Scanned at ×20 · H&E · 7 image tiles from a single gastric biopsy slide · 300×300 px each.
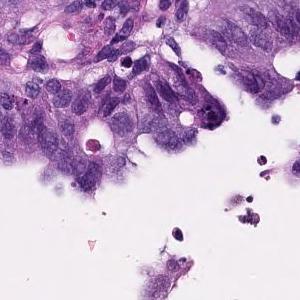
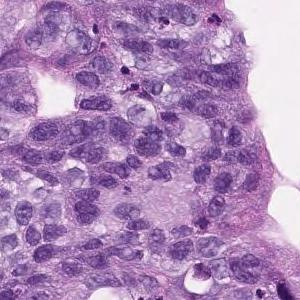
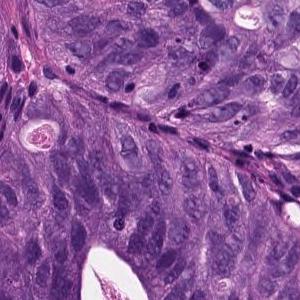
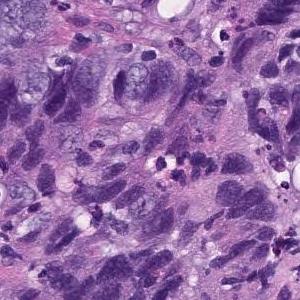
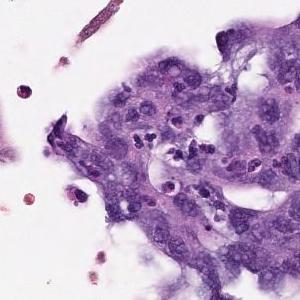
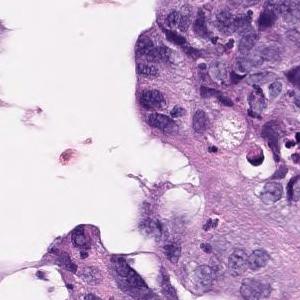
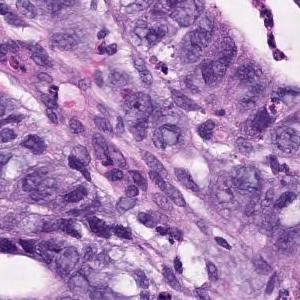
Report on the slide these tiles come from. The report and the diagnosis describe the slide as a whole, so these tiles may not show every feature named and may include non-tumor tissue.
In the superficial epithelium, tumor tissue that invades by forming medium-sized to small, irregular ducts is observed. Moderately differentiated adenocarcinoma.
Subtype: Moderately differentiated tubular adenocarcinoma.
